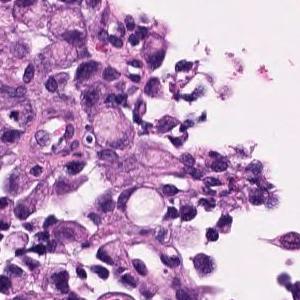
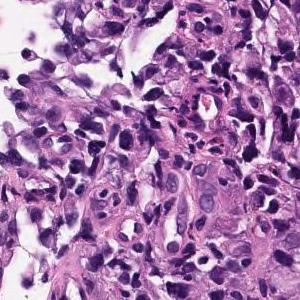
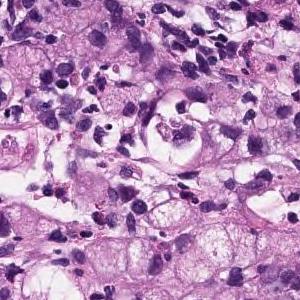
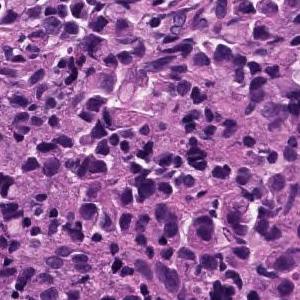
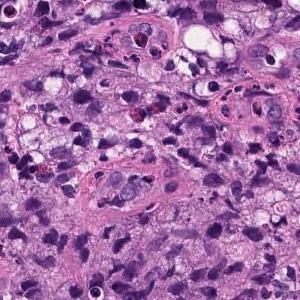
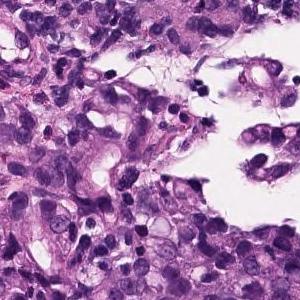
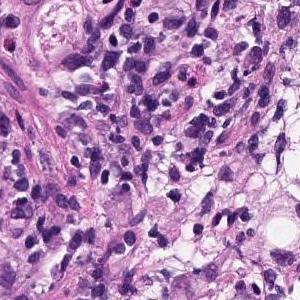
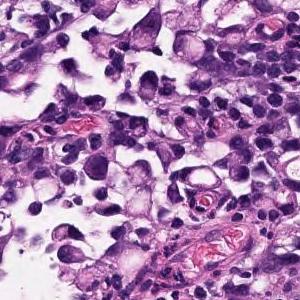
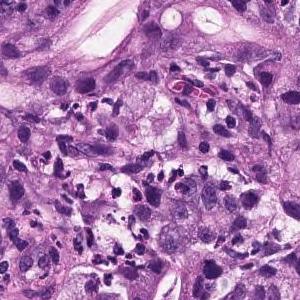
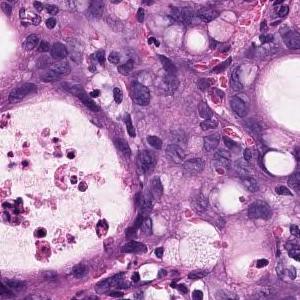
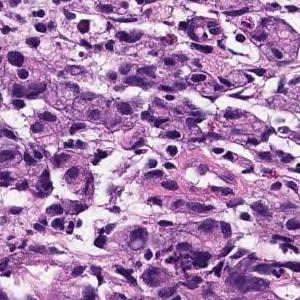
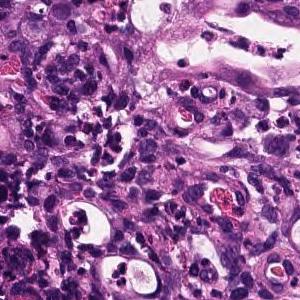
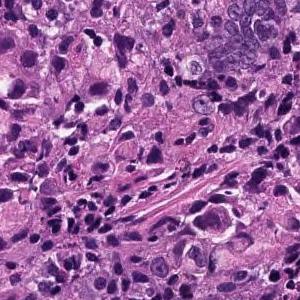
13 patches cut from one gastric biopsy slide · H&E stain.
Report on the slide these tiles come from. The report and the diagnosis describe the slide as a whole, so these tiles may not show every feature named and may include non-tumor tissue.
Atypical epithelium forms irregularly fused gland ducts and proliferates. Poorly differentiated adenocarcinoma.
Classified as poorly differentiated adenocarcinoma, non-solid type.
The term "non-solid type" comes from the Japanese Classification of Gastric Carcinoma.
